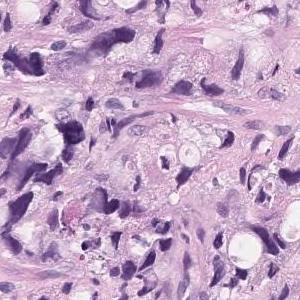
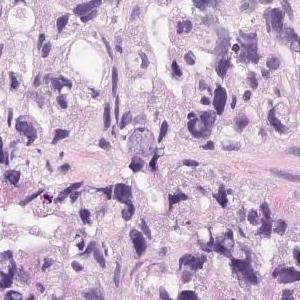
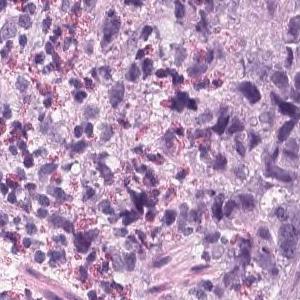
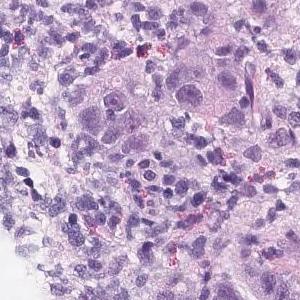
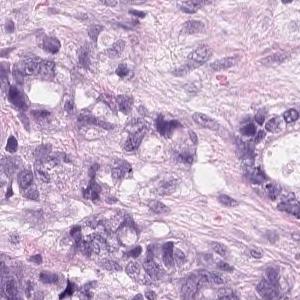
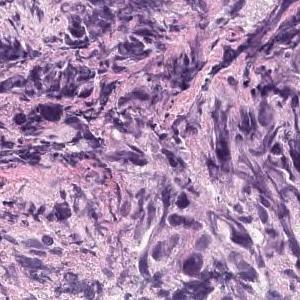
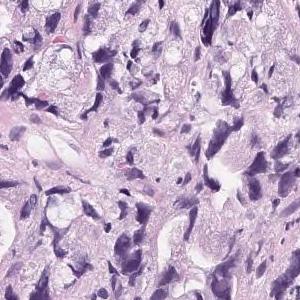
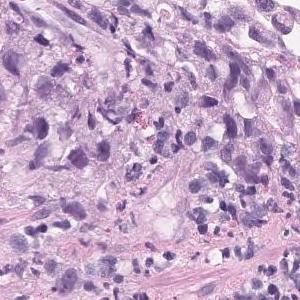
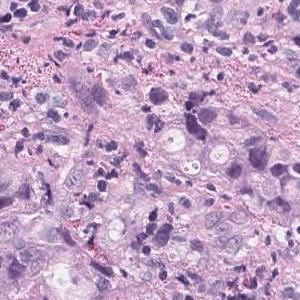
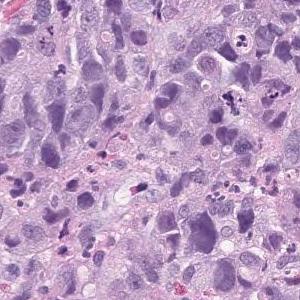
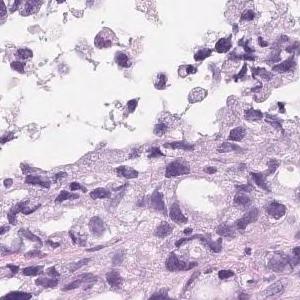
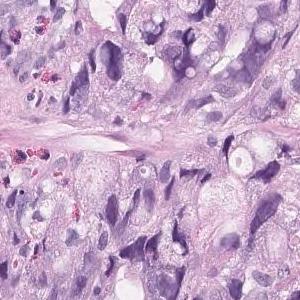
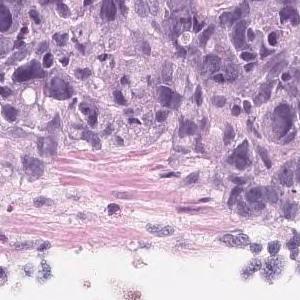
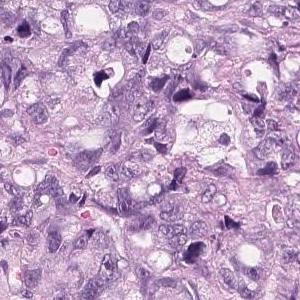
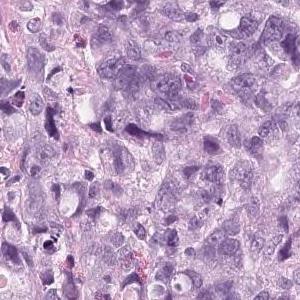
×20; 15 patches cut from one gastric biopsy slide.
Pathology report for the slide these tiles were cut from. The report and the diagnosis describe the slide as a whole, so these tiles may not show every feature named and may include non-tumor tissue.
Tumor tissue that infiltrates and proliferates by forming small glandular cavities in the superficial layer to the submucosa or forming a mass is observed. moderately differentiated tubular adenocarcinoma
